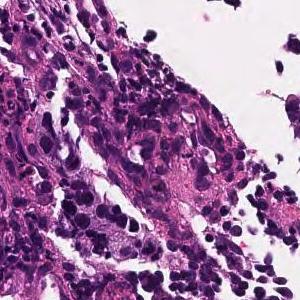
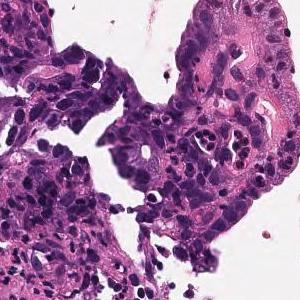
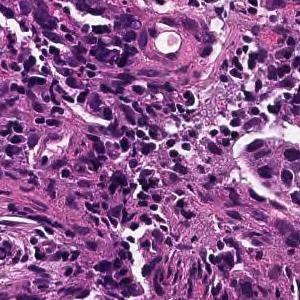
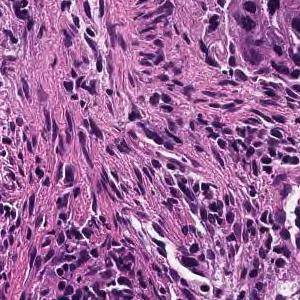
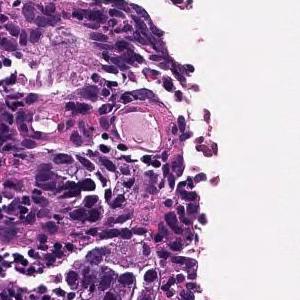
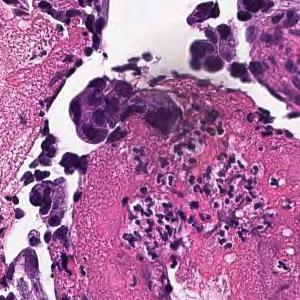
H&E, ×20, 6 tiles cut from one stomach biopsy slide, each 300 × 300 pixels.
The pathologist's report on the biopsy slide these tiles were taken from. Both the report and the diagnosis are for the whole slide: these tiles need not show every feature named, and some of the tissue shown may not be tumor.
On the superficial epithelium, tumor tissue consisting of large irregular glandular ducts partially fused and infiltrated is observed. Well to moderately differentiated tubular adenocarcinoma (well differentiated tubular adenocarcinoma, moderately differentiated tubular adenocarcinoma)
Classified as well to moderately differentiated tubular adenocarcinoma.
